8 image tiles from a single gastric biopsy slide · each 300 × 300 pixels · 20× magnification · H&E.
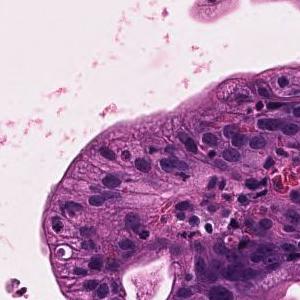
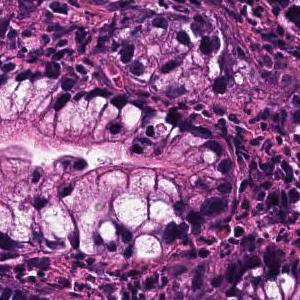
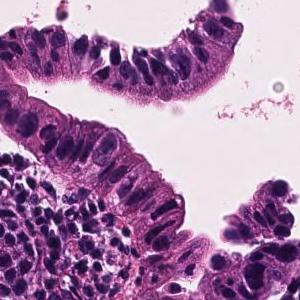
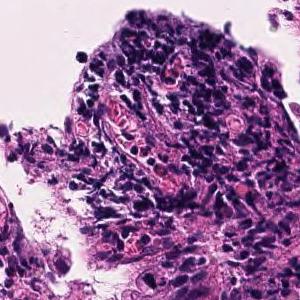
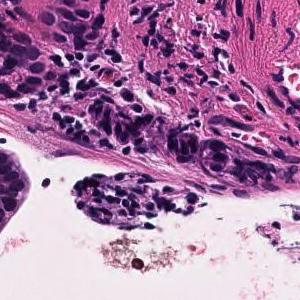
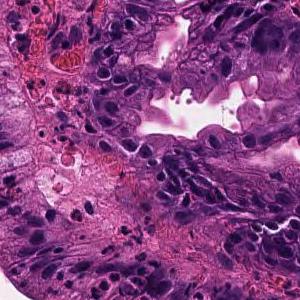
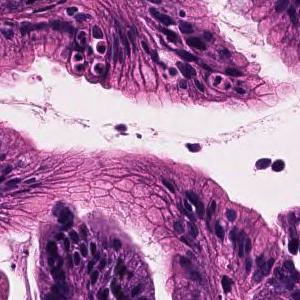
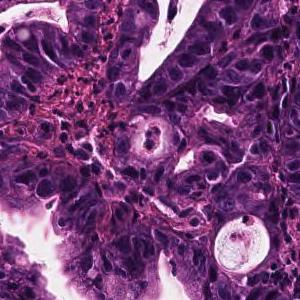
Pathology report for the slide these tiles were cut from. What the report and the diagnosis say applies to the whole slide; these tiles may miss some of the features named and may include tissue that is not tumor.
Tumor cells are large, highly columnar, large club-shaped nuclei, and are associated with chromatin aggregation. Papillary adenocarcinoma.
